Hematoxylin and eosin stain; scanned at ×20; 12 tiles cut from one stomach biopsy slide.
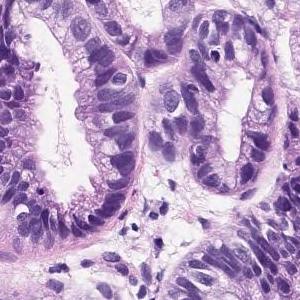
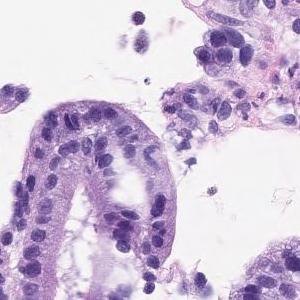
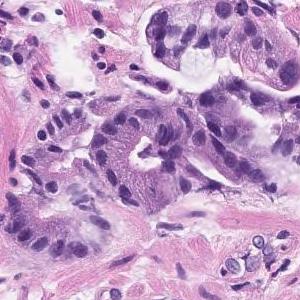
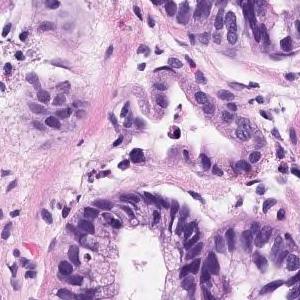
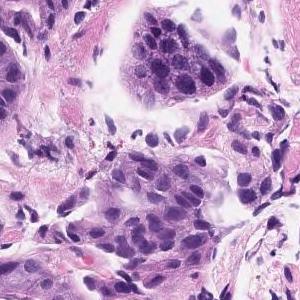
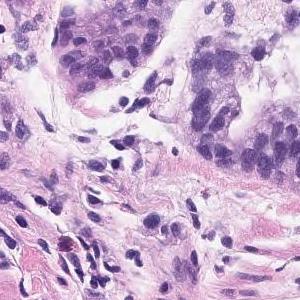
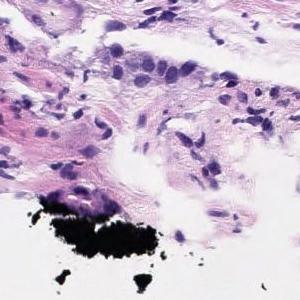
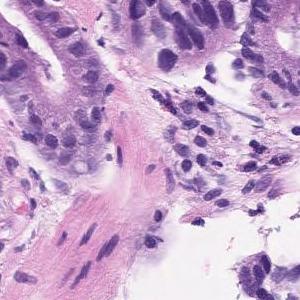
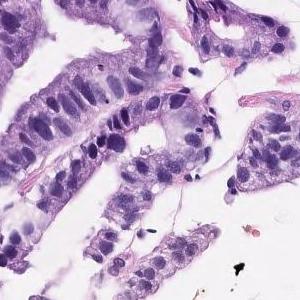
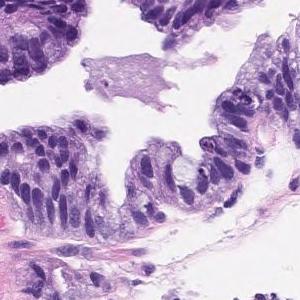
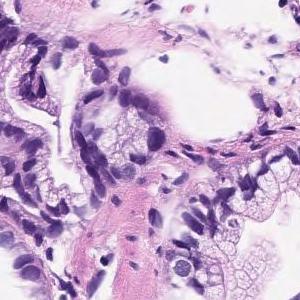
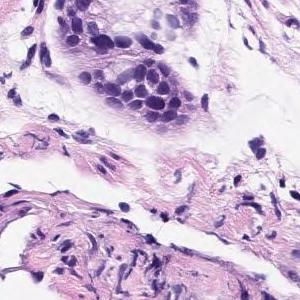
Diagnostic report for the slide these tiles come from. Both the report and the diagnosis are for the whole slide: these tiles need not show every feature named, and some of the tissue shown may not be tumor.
The superficial tumors shows large papillary structures or large and small ducts and infiltrates. Papillary adenocarcinoma.
